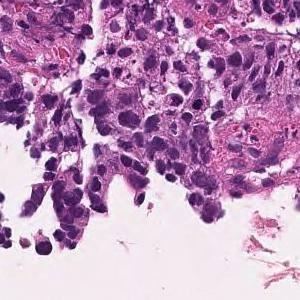
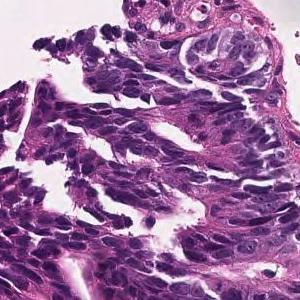
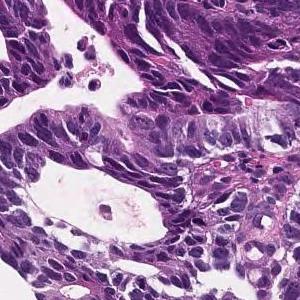
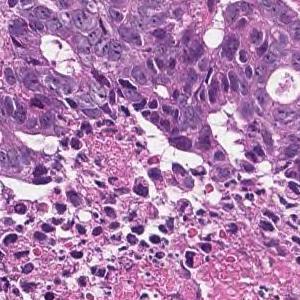
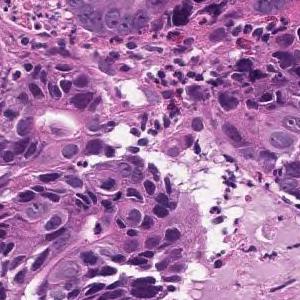
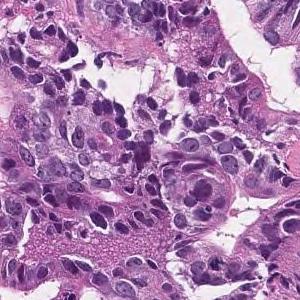
H&E stain, 6 patches cut from one gastric biopsy slide, each 300 × 300 pixels.
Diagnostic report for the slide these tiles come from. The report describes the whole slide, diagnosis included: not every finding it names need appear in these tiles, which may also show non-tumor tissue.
In the superficial epithelium, tumor tissue that invades by forming medium-sized to small, irregular ducts is observed. moderately differentiated tubular adenocarcinoma.
